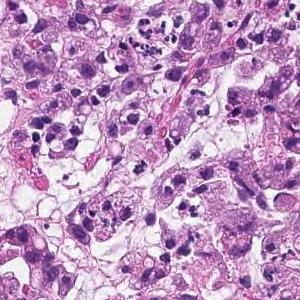
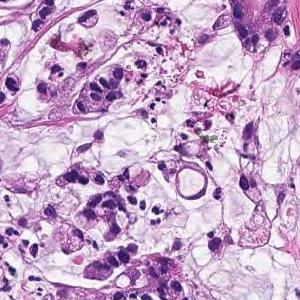
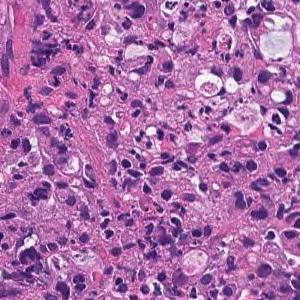
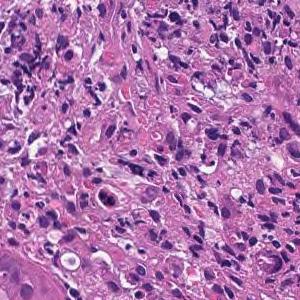
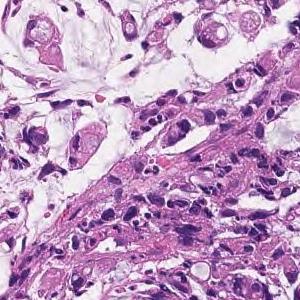
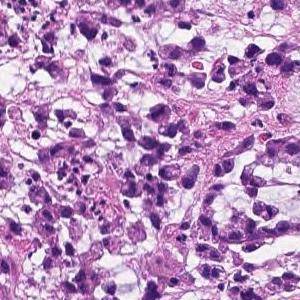
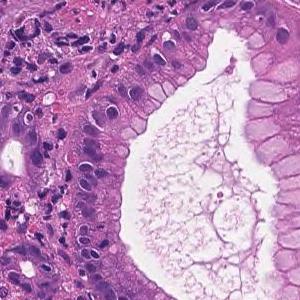
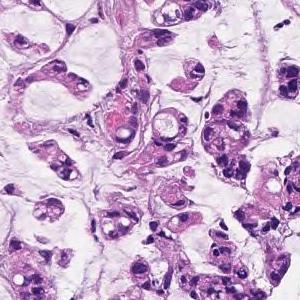
20× magnification, 8 tiles cut from one stomach biopsy slide.
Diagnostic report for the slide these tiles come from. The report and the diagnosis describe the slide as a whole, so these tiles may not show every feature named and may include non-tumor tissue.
Tumor tissue consisting of cord-like or small, irregular glandular ducts fused and infiltrated is observed in the superficial epithelium. Poorly differentiated adenocarcinoma, non-solid type
The term "non-solid type" comes from the Japanese Classification of Gastric Carcinoma.
